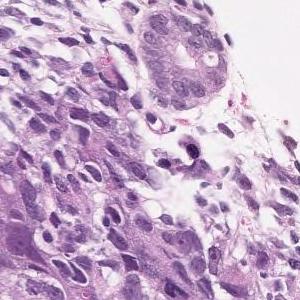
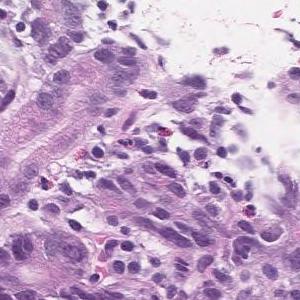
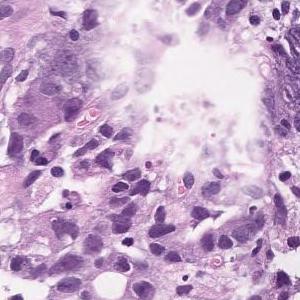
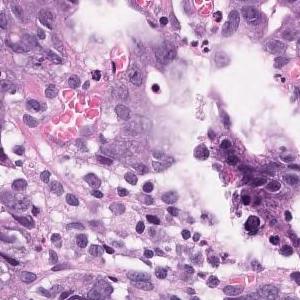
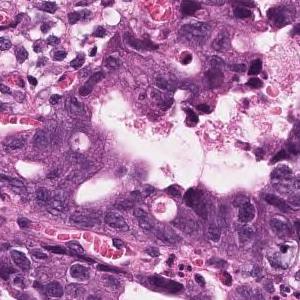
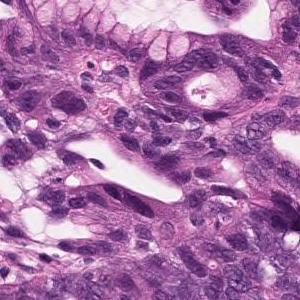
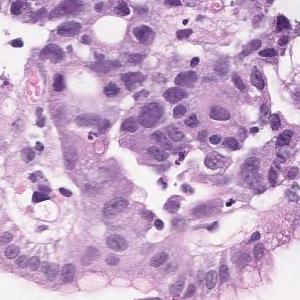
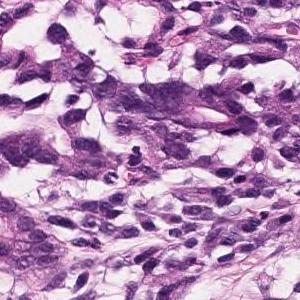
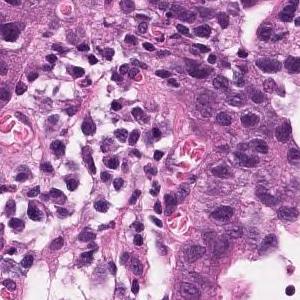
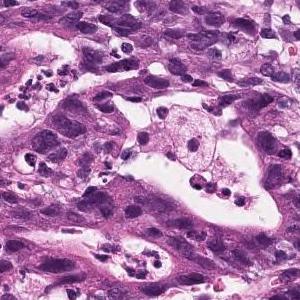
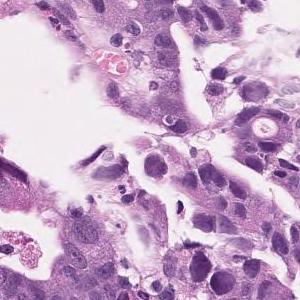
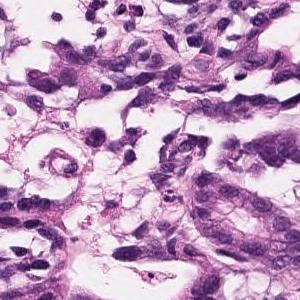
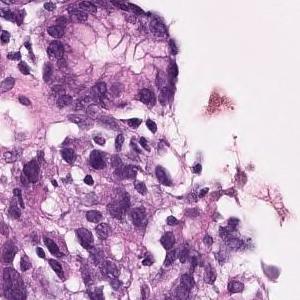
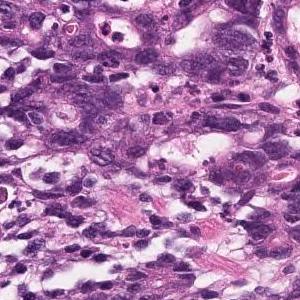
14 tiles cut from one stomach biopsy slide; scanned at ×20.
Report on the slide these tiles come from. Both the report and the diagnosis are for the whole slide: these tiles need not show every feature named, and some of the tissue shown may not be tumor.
It is mixed with the existing pit epithelium and pyloric gland epithelium, and irregularly fused and branched atypical ducts are observed. Moderately differentiated tubular adenocarcinoma (well differentiated tubular adenocarcinoma)
Dataset label: moderately differentiated tubular adenocarcinoma.
